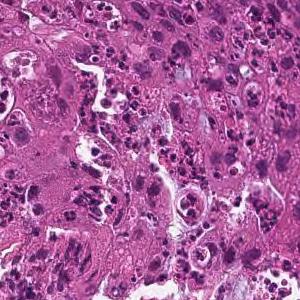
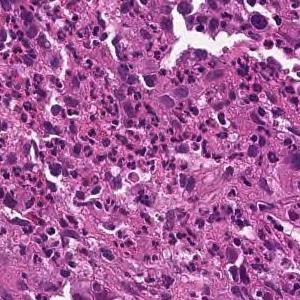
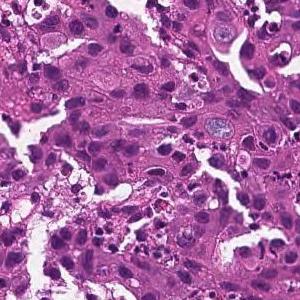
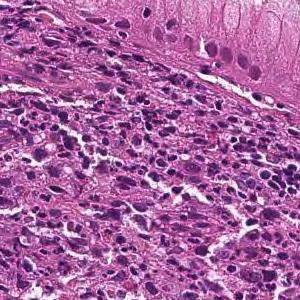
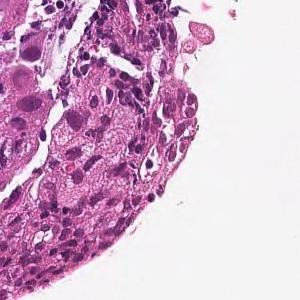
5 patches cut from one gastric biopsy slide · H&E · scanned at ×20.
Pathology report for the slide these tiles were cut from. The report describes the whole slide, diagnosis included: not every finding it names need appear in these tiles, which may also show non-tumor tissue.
The superficial epithelium shows a large sheet-like shape, and some tumor tissue infiltrates with small irregular ducts. Poorly differentiated adenocarcinoma, solid-type
Histologic type: Poorly differentiated adenocarcinoma, solid type (Japanese Classification of Gastric Carcinoma). The WHO 2019 equivalent is tubular adenocarcinoma, poorly differentiated.
